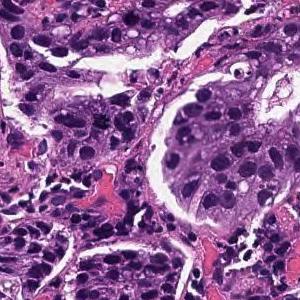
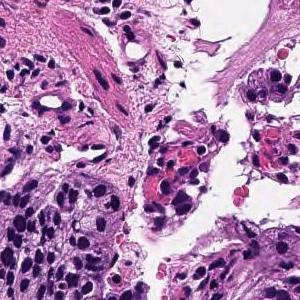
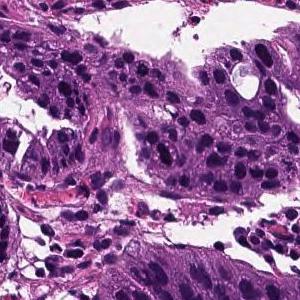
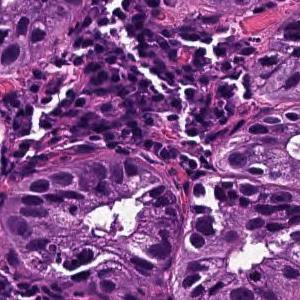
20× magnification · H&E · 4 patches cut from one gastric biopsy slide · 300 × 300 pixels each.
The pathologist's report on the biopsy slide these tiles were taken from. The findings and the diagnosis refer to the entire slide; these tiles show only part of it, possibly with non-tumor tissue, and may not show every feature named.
In the superficial epithelium, tumor tissue that invades by forming medium-sized to small, irregular ducts is observed. moderately differentiated tubular adenocarcinoma.
